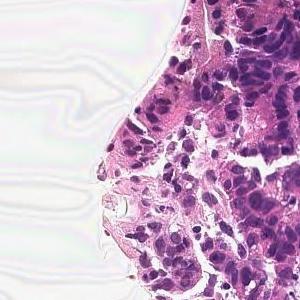
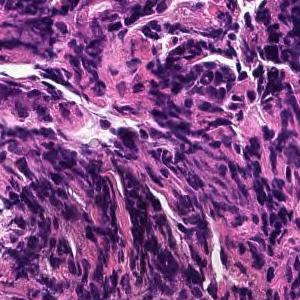
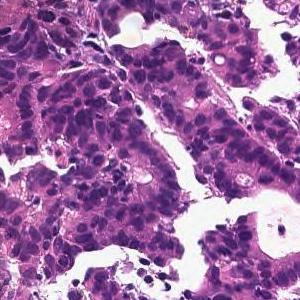
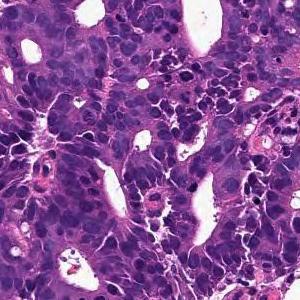
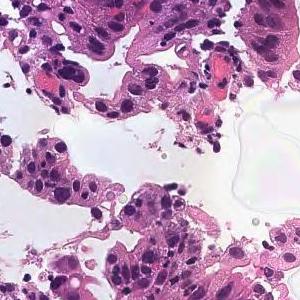
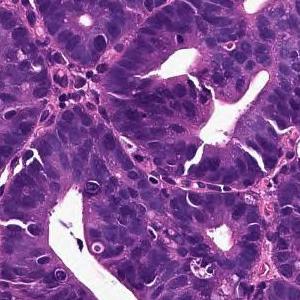
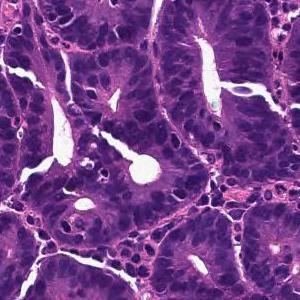
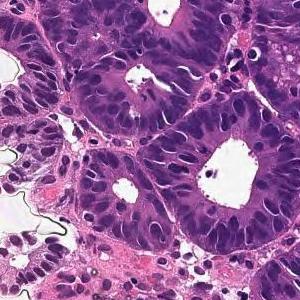
Hematoxylin and eosin stain, 8 tiles from the same stomach biopsy slide.
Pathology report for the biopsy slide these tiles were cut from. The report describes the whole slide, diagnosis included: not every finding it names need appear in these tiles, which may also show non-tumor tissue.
On the superficial epithelium, tumor tissue consisting of large irregular glandular ducts partially fused and infiltrated is observed. Well to moderately differentiated tubular adenocarcinoma (well differentiated tubular adenocarcinoma, moderately differentiated tubular adenocarcinoma)
Histologic type: Well to moderately differentiated tubular adenocarcinoma.
